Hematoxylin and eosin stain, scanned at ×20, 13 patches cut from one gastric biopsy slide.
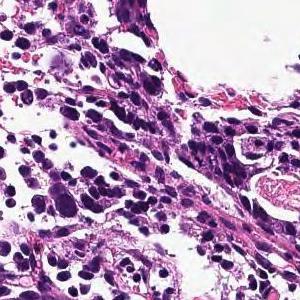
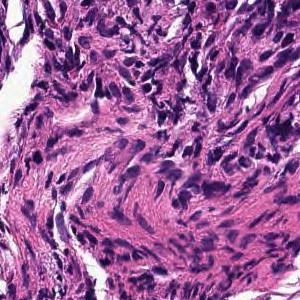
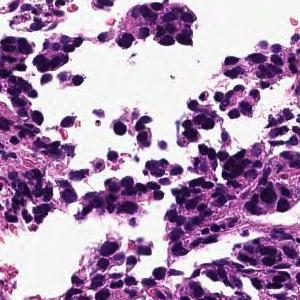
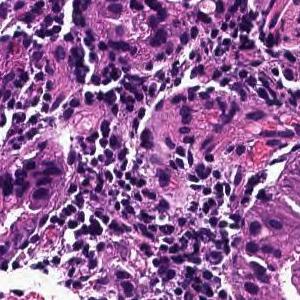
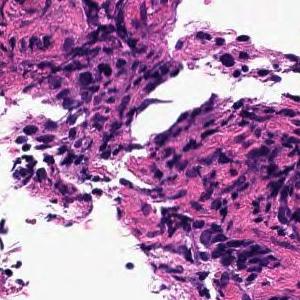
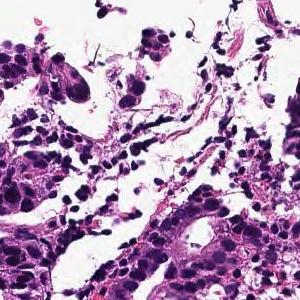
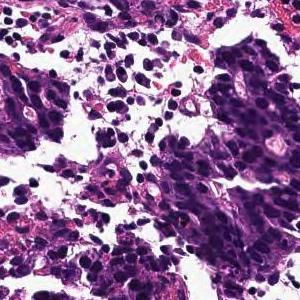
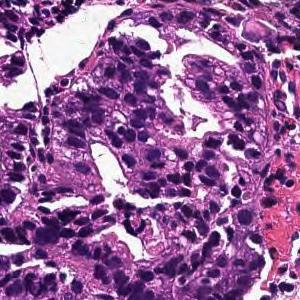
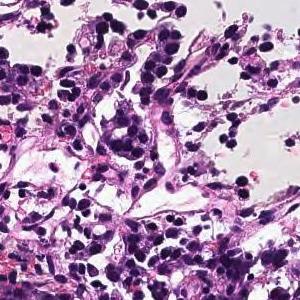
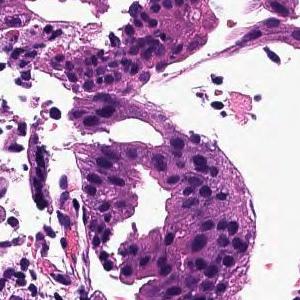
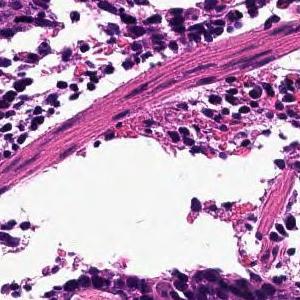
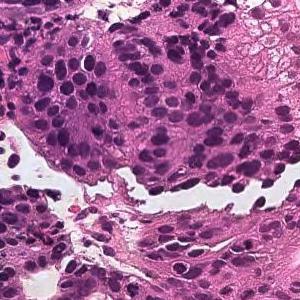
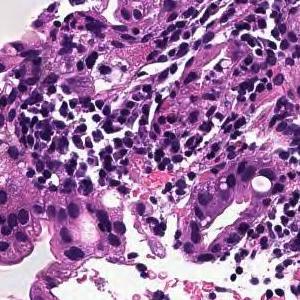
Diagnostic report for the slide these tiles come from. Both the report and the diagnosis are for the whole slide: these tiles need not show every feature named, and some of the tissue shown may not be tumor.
In the superficial epithelium, tumor tissue that invades by forming medium-sized to small, irregular ducts is observed. moderately differentiated tubular adenocarcinoma.
